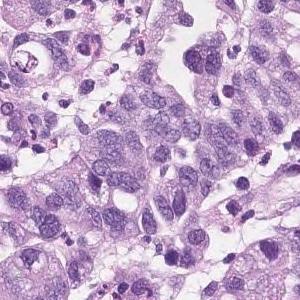
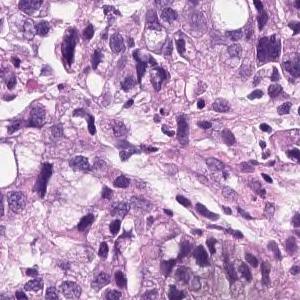
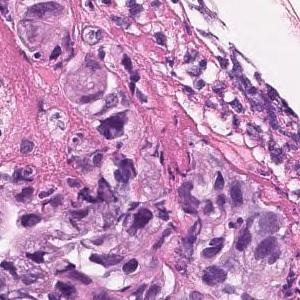
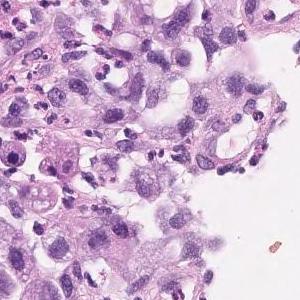
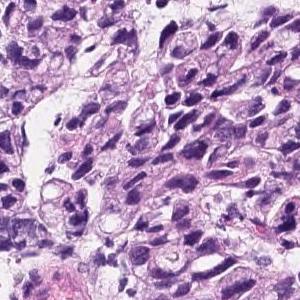
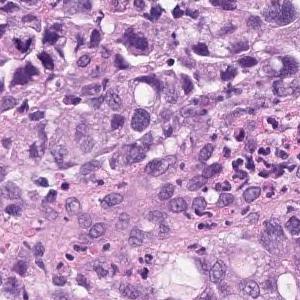
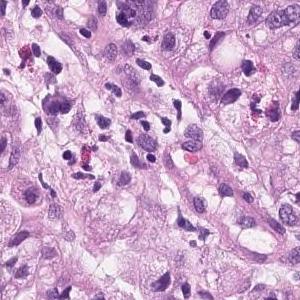
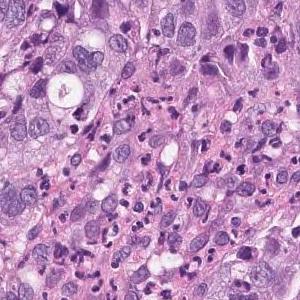
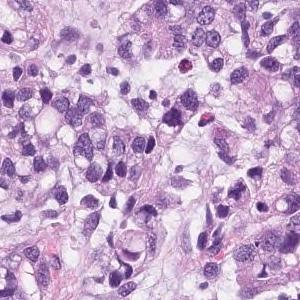
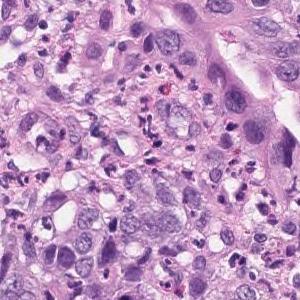
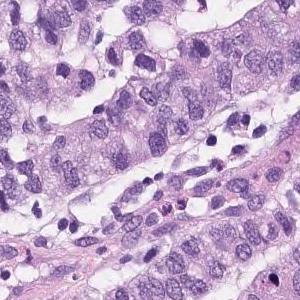
H&E, 11 image tiles from a single gastric biopsy slide.
The pathologist's report on the biopsy slide these tiles were taken from. What the report and the diagnosis say applies to the whole slide; these tiles may miss some of the features named and may include tissue that is not tumor.
Group 5, Adenocarcinoma. Poorly differentiated adenocarcinoma, non-solid type
The non-solid type named here is a Japanese Classification of Gastric Carcinoma category.
